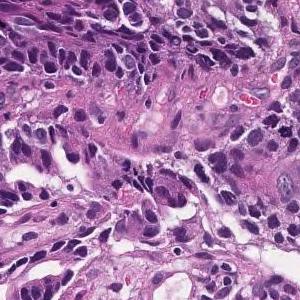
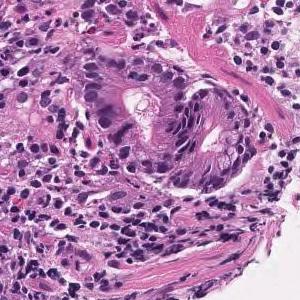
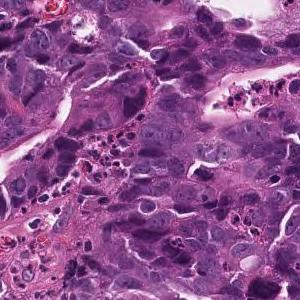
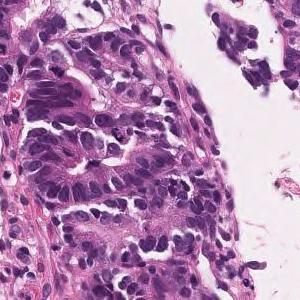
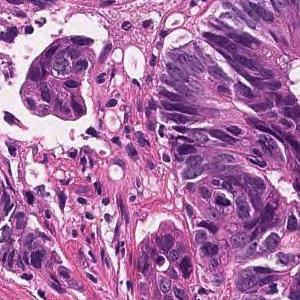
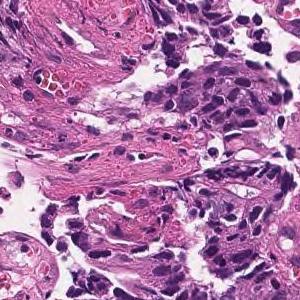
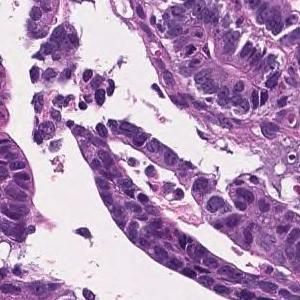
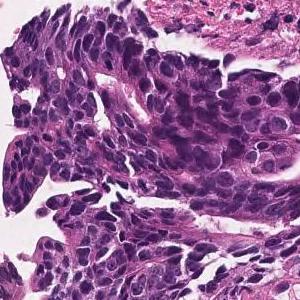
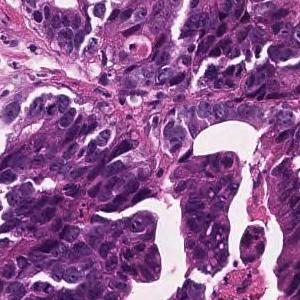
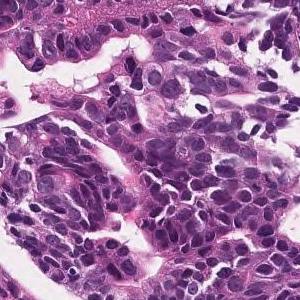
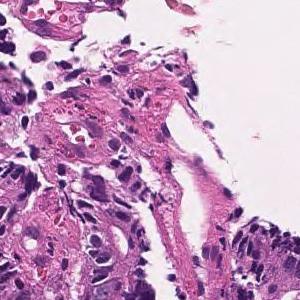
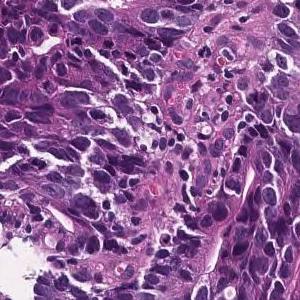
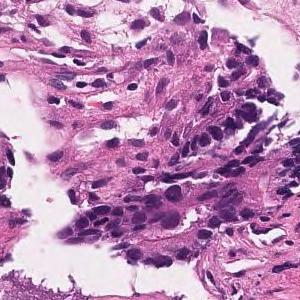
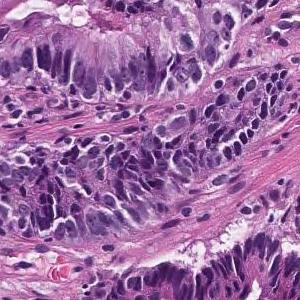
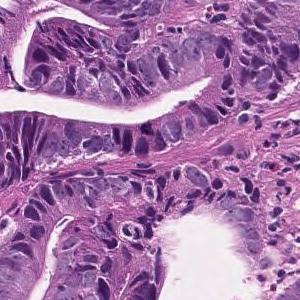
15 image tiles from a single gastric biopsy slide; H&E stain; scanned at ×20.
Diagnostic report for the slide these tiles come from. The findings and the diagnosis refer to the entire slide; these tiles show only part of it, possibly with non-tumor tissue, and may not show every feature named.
In the superficial epithelium, tumor tissue that invades by forming medium-sized to small, irregular ducts is observed. moderately differentiated tubular adenocarcinoma.
